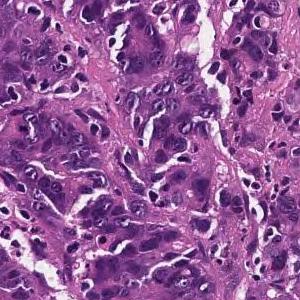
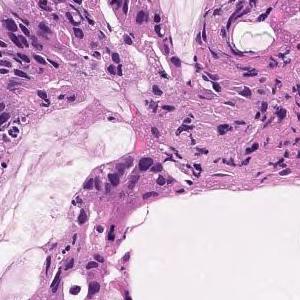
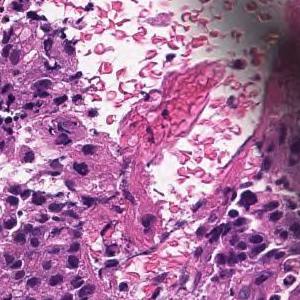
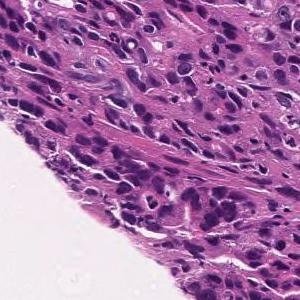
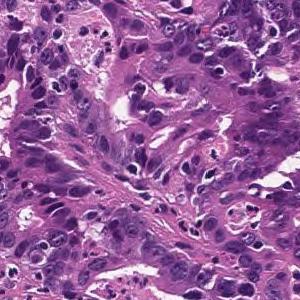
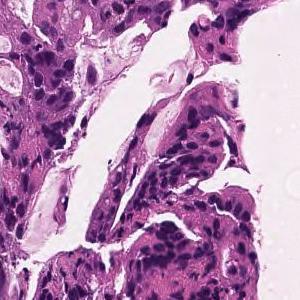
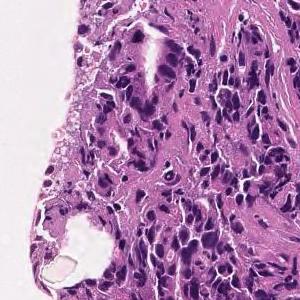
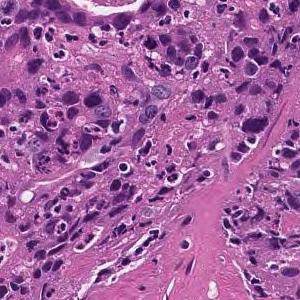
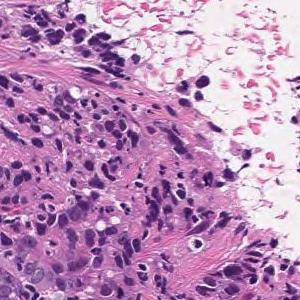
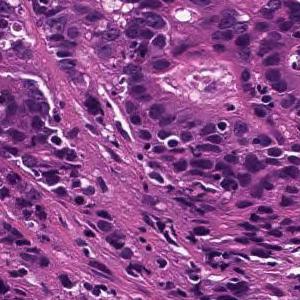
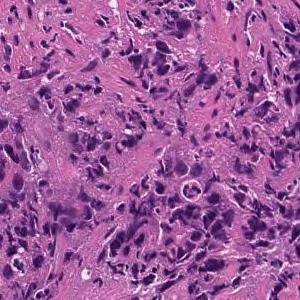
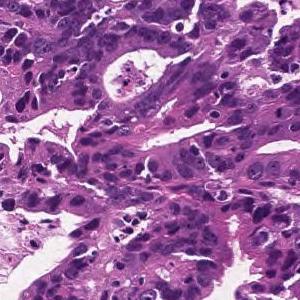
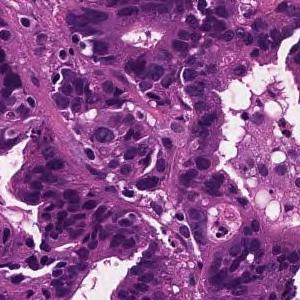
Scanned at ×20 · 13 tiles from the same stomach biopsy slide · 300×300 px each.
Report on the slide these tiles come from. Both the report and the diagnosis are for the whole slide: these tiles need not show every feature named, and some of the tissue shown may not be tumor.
In the superficial epithelium, tumor tissue that invades by forming medium-sized to small, irregular ducts is observed. moderately differentiated tubular adenocarcinoma.
